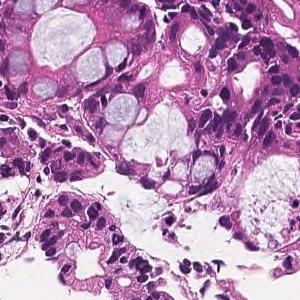
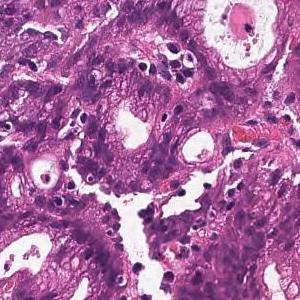
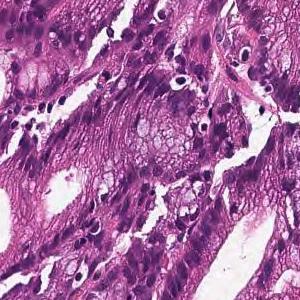
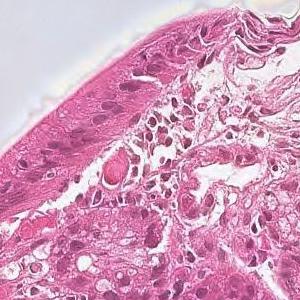
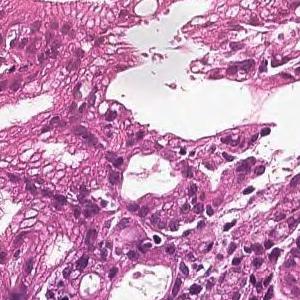
5 image tiles from a single gastric biopsy slide, 20× magnification, hematoxylin and eosin stain.
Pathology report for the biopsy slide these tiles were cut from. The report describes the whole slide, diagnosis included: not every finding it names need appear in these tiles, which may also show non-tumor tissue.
In the superficial epithelium, tumor tissue that invades by forming medium-sized to small, irregular ducts is observed. moderately differentiated tubular adenocarcinoma.
